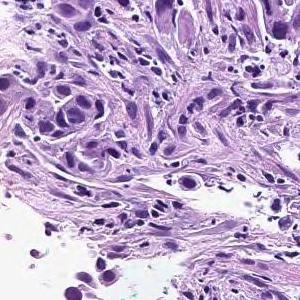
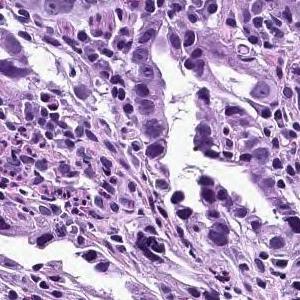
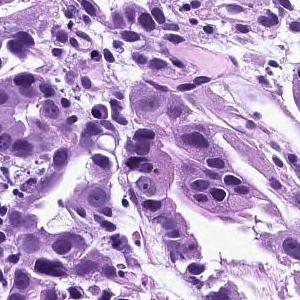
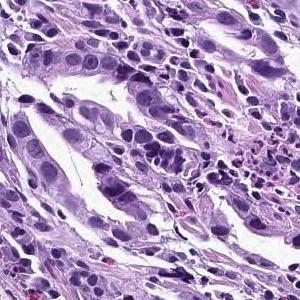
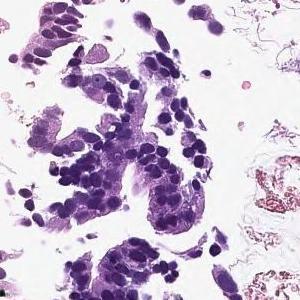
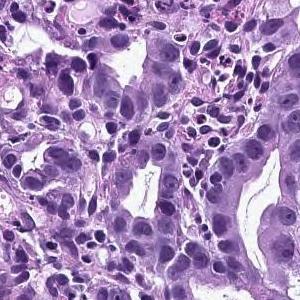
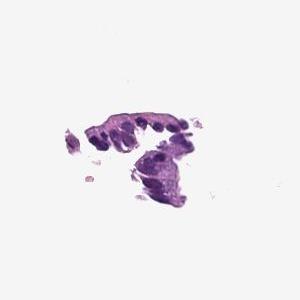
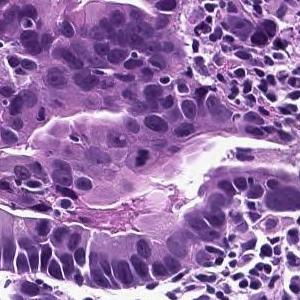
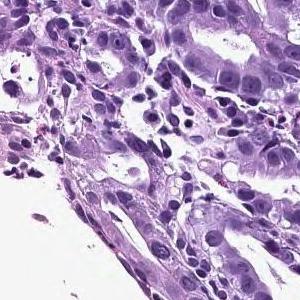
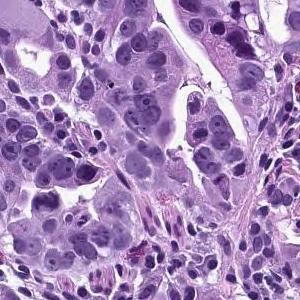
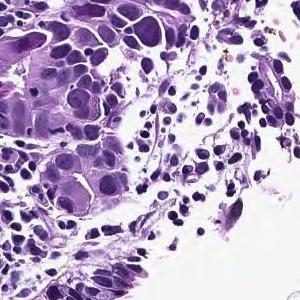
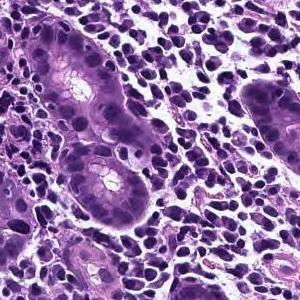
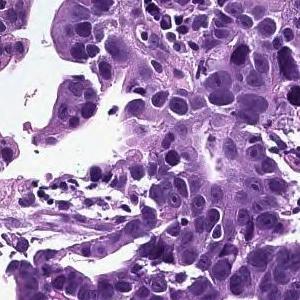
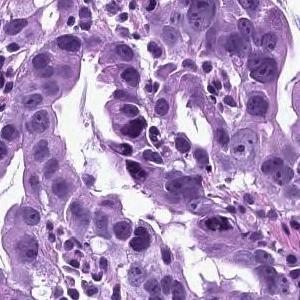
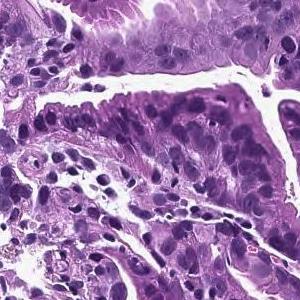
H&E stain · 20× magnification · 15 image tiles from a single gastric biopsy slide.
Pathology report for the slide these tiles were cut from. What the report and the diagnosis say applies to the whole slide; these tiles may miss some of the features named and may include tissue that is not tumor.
In the superficial epithelium, tumor tissue that invades by forming medium-sized to small, irregular ducts is observed. moderately differentiated tubular adenocarcinoma.
